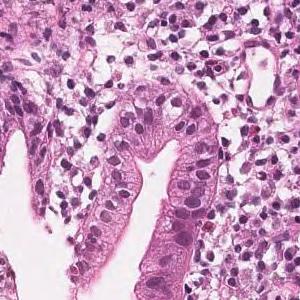
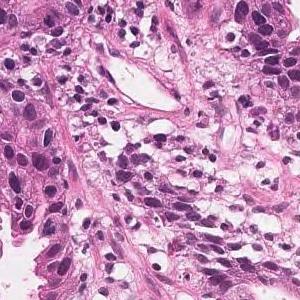
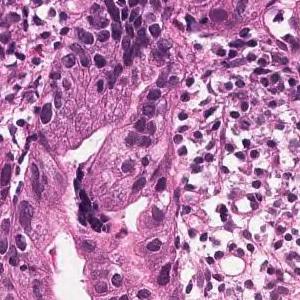
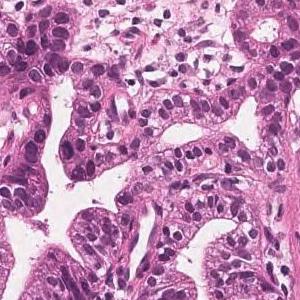
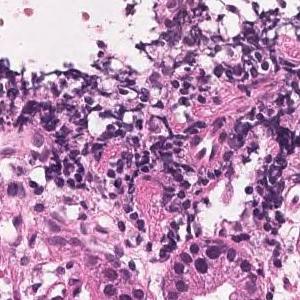
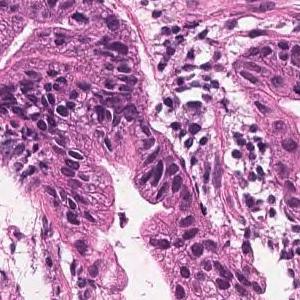
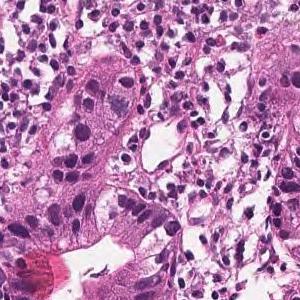
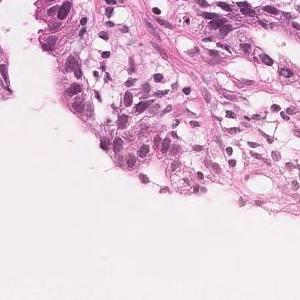
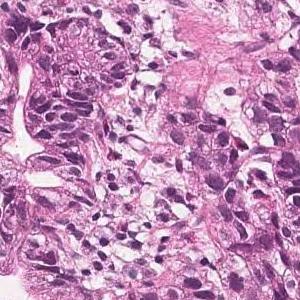
Hematoxylin and eosin stain · scanned at ×20 · 9 tiles from the same stomach biopsy slide · 300×300 px each.
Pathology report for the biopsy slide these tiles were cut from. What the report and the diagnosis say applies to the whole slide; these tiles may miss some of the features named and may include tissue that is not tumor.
Tumor tissue consisting of medium-sized and irregular ducts is observed infiltrating in the superficial epithelium. Tumor cells are highly columnar, with nuclei aligned basolaterally and polarized. Well differentiated tubular adenocarcinoma.
